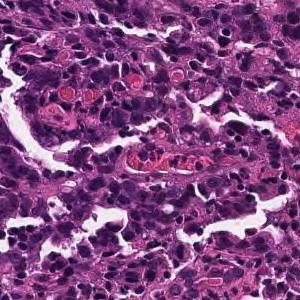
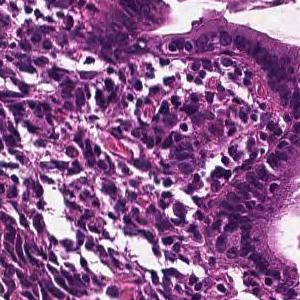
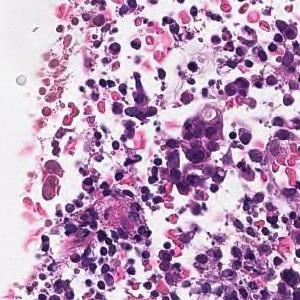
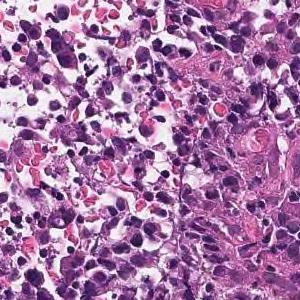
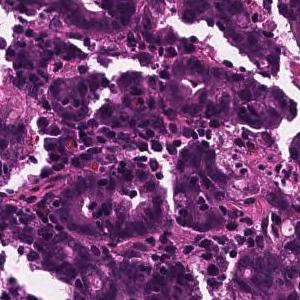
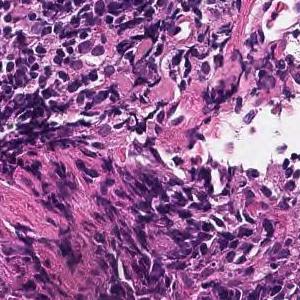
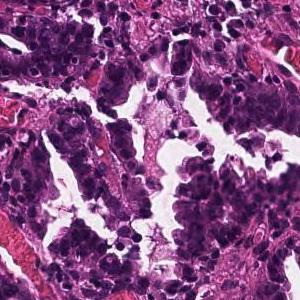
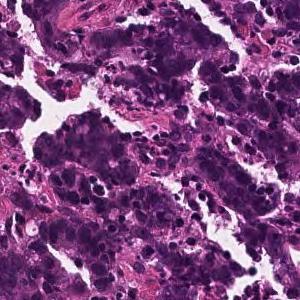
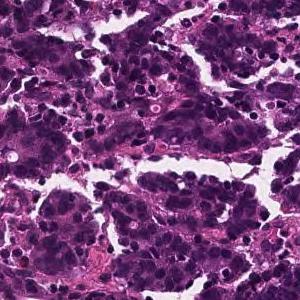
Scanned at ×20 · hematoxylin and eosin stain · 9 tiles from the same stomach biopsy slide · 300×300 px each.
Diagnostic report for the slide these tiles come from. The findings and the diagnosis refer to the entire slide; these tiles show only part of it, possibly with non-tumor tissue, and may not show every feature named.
In the superficial epithelium, tumor tissue that invades by forming medium-sized to small, irregular ducts is observed. moderately differentiated tubular adenocarcinoma.
